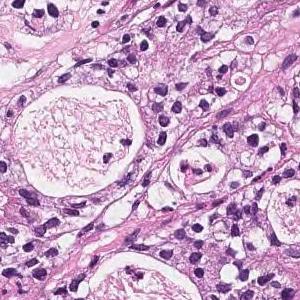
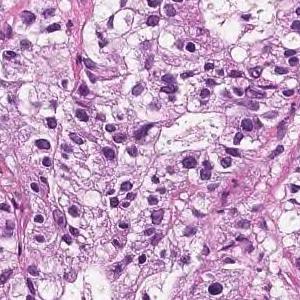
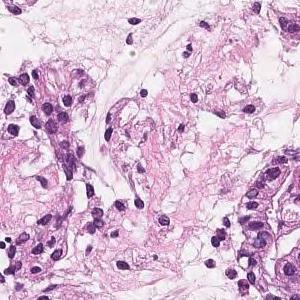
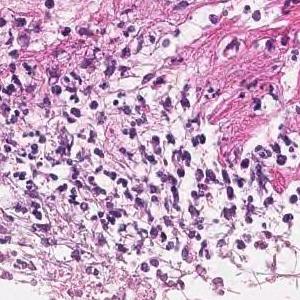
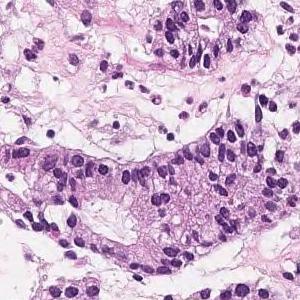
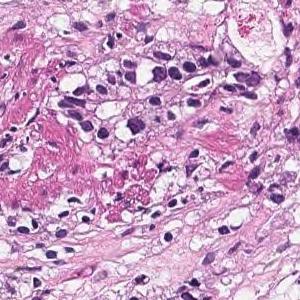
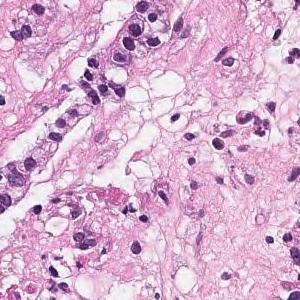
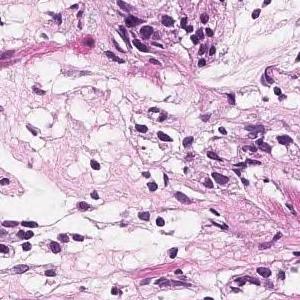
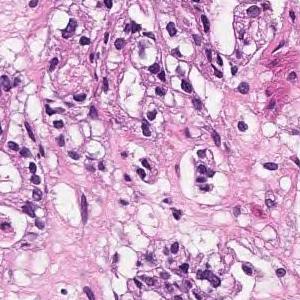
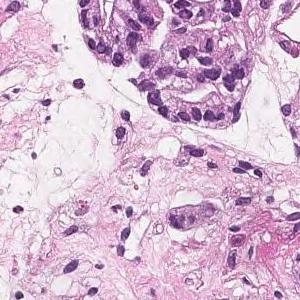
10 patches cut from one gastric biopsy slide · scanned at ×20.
Pathology report for the biopsy slide these tiles were cut from. The report and the diagnosis describe the slide as a whole, so these tiles may not show every feature named and may include non-tumor tissue.
In the superficial epithelium, tumor tissue that invades by forming medium-sized to small, irregular ducts is observed. moderately differentiated tubular adenocarcinoma.
